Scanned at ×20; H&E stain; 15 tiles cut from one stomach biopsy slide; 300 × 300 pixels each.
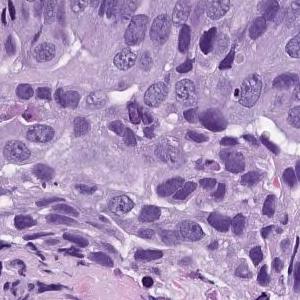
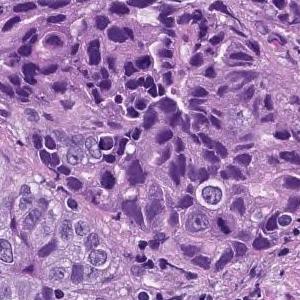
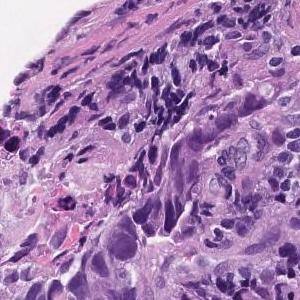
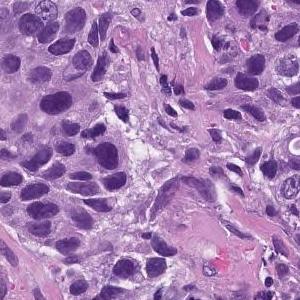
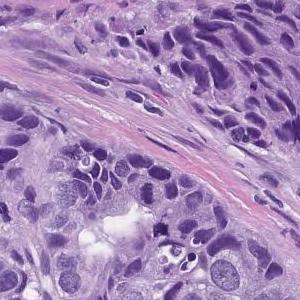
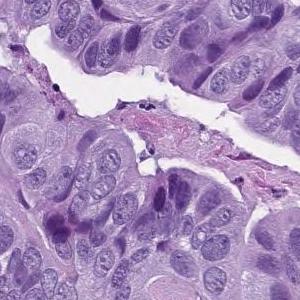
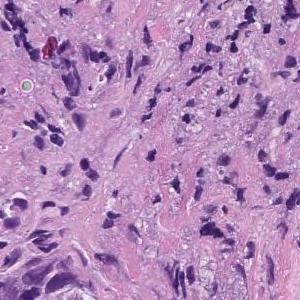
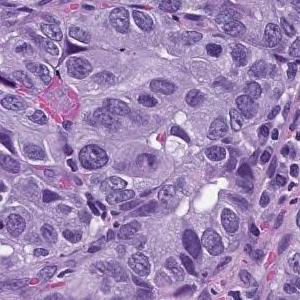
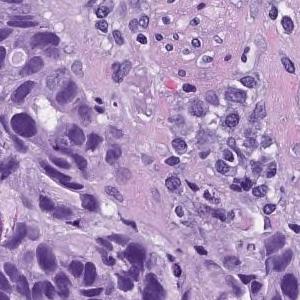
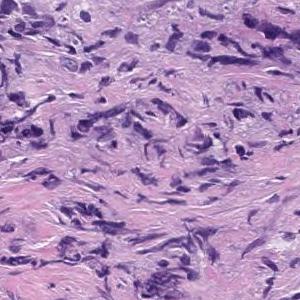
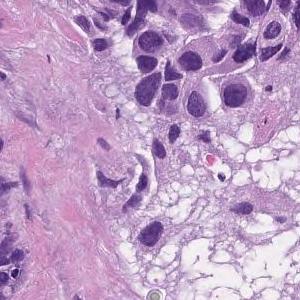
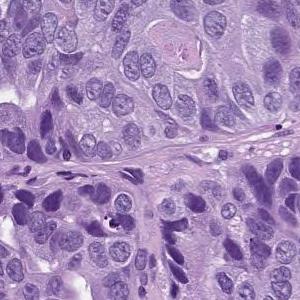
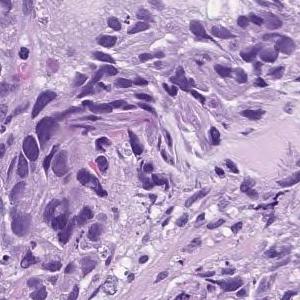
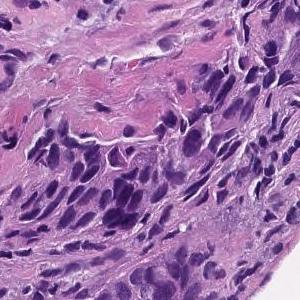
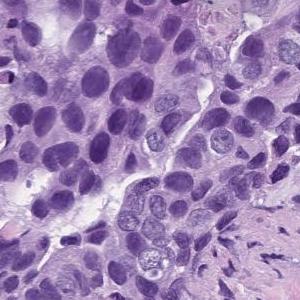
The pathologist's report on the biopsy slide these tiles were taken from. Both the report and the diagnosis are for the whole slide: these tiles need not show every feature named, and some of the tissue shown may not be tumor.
In the superficial epithelium, tumor tissue that invades by forming medium-sized to small, irregular ducts is observed. moderately differentiated tubular adenocarcinoma.
